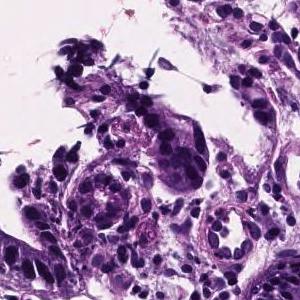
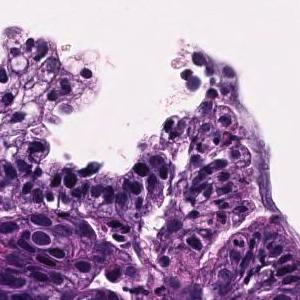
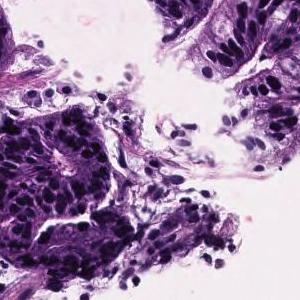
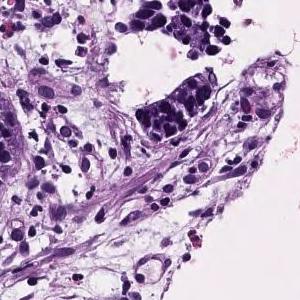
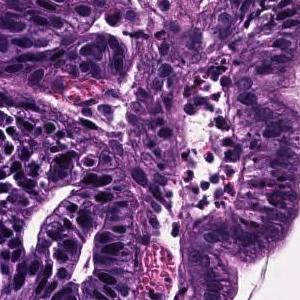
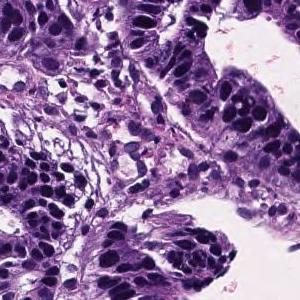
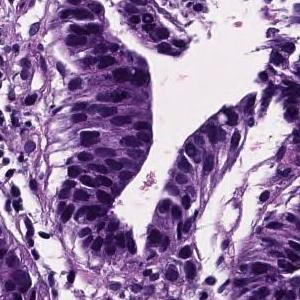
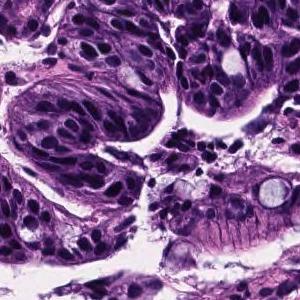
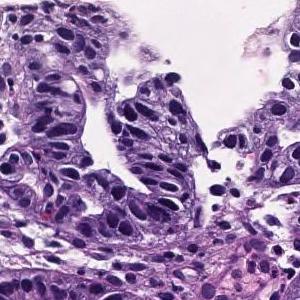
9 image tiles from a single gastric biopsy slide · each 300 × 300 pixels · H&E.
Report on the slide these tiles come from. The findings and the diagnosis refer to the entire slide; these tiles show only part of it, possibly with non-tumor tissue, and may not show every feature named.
On the superficial epithelium, tumor tissue consisting of medium-sized to large-sized, round or irregular glandular duct growth images is observed. Well differentiated tubular adenocarcinoma
